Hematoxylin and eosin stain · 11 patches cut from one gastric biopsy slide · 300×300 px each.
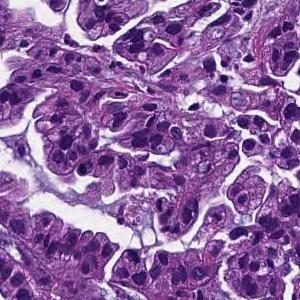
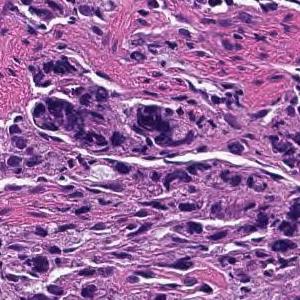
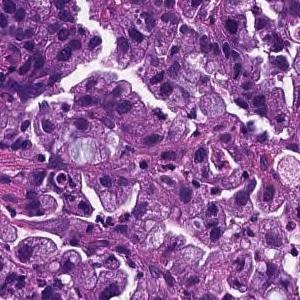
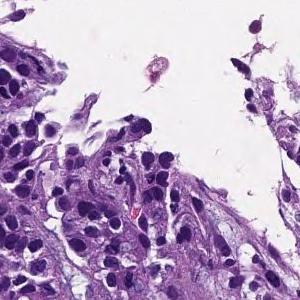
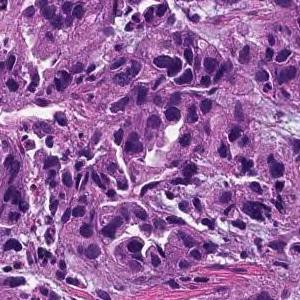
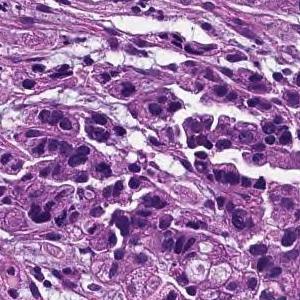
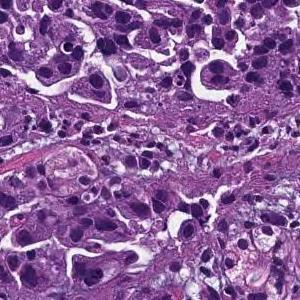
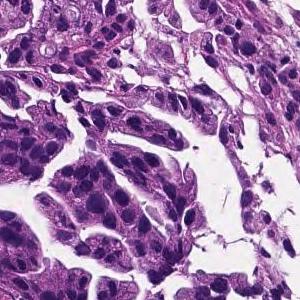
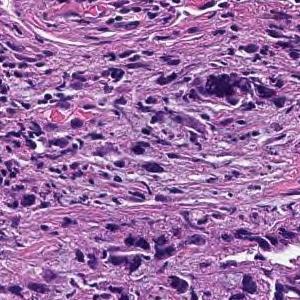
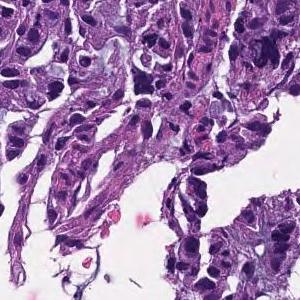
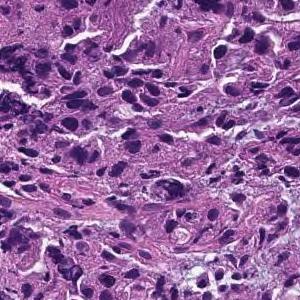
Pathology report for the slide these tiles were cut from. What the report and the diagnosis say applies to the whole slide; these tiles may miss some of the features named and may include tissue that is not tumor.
Tumor tissue consisting of medium-sized, cord-like or irregular glandular infiltration is observed in the superficial epithelium. Poorly differentiated adenocarcinoma, non-solid type or moderately differentiated tubular adenocarcinoma
Tumor subtype: moderately to poorly differentiated adenocarcinoma.
The term "non-solid type" comes from the Japanese Classification of Gastric Carcinoma.
